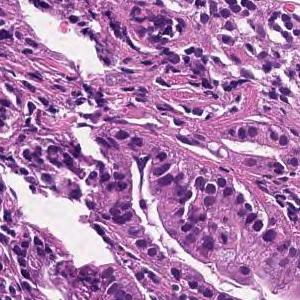
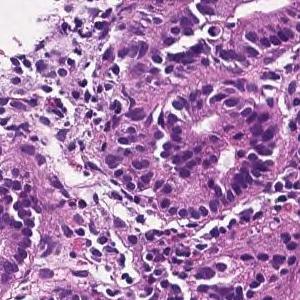
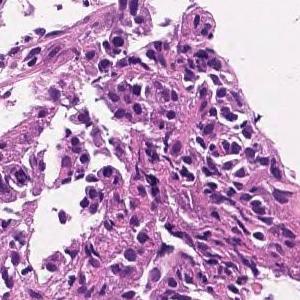
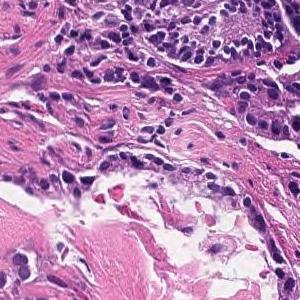
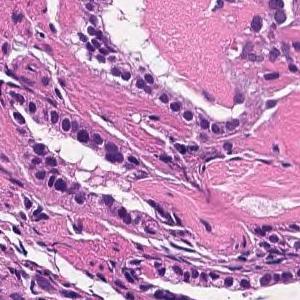
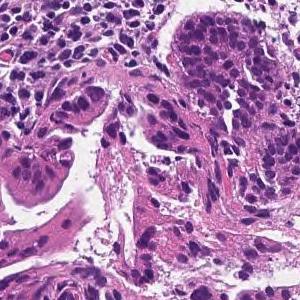
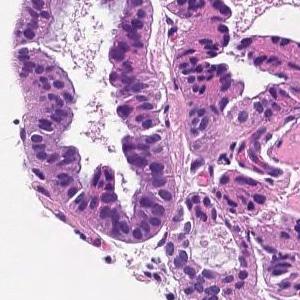
20× magnification · H&E stain · 7 tiles cut from one stomach biopsy slide · 300×300 px each.
Report on the slide these tiles come from. What the report and the diagnosis say applies to the whole slide; these tiles may miss some of the features named and may include tissue that is not tumor.
On the superficial epithelium, tumor tissue that infiltrates by forming medium-sized papillary or small irregular ducts is observed. Papillary adenocarcinoma (Papillary adenocarcinoma)
Tumor subtype: papillary adenocarcinoma.
